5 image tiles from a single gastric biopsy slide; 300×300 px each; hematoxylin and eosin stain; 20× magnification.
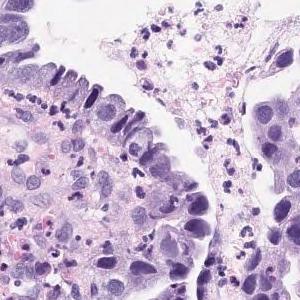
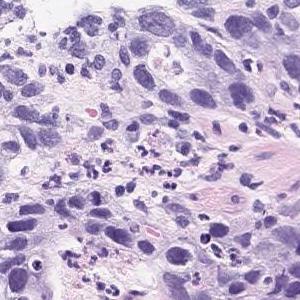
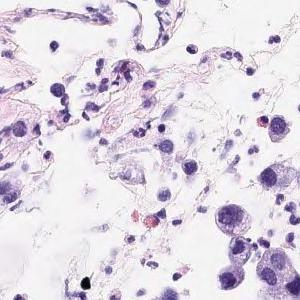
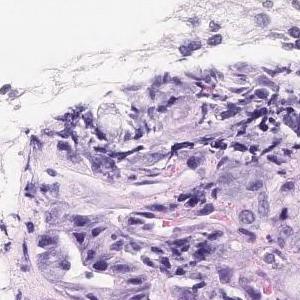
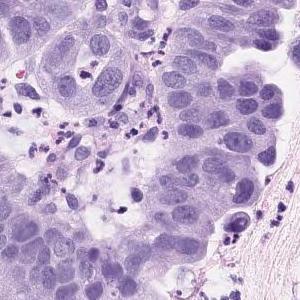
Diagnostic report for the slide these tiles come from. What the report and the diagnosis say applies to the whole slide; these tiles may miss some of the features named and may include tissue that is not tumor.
Atypical l cells with atypical nuclei forming solid or diffuse vesicles or small irregular atypical ducts and growing in a complex manner. Well differentiated tubular adenocarcinoma
